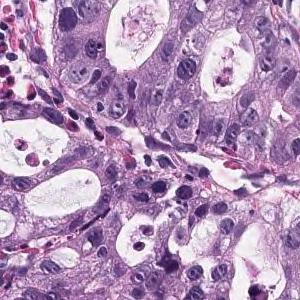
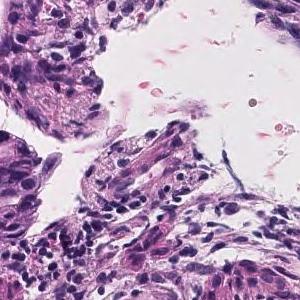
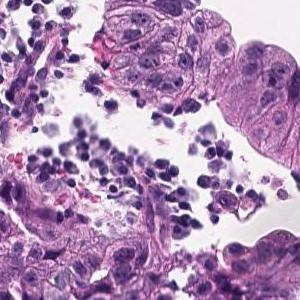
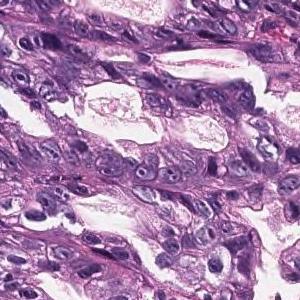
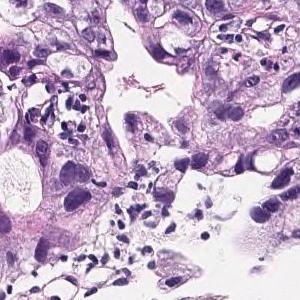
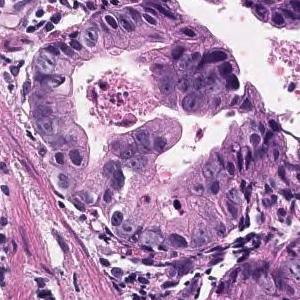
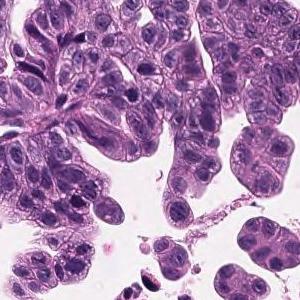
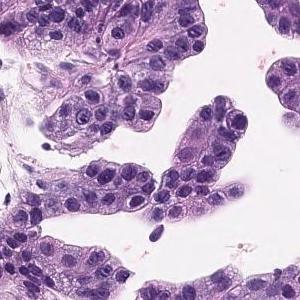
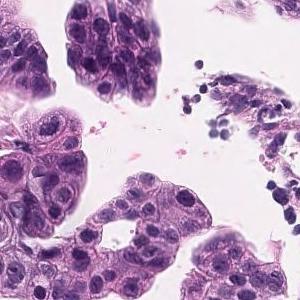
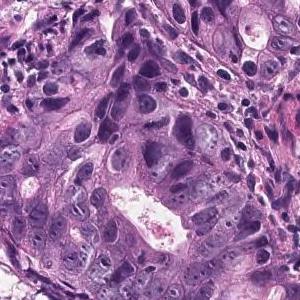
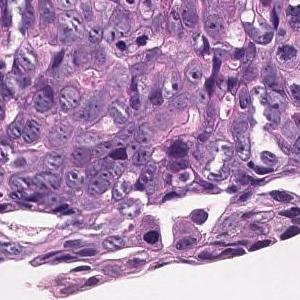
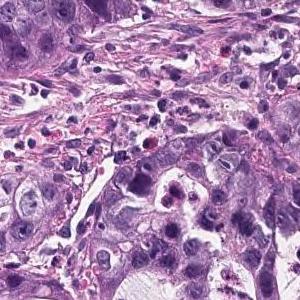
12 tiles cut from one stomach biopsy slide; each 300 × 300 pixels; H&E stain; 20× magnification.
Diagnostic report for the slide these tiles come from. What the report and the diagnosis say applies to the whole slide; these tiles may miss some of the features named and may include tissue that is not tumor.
Tumor cells are large, highly columnar, large club-shaped nuclei, and are associated with chromatin aggregation. Papillary adenocarcinoma.
